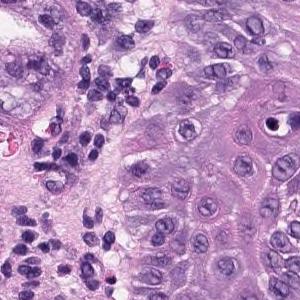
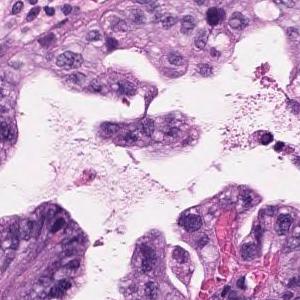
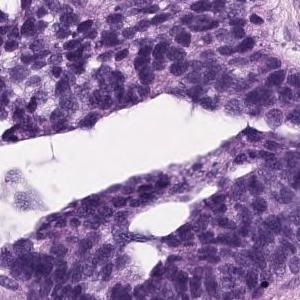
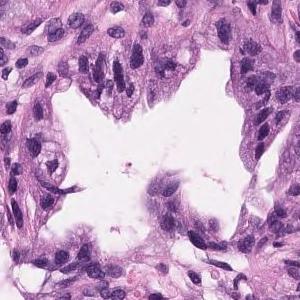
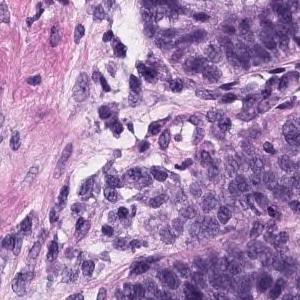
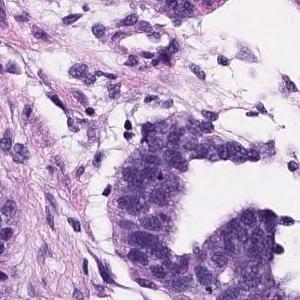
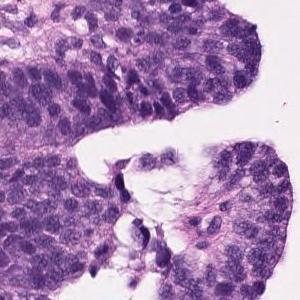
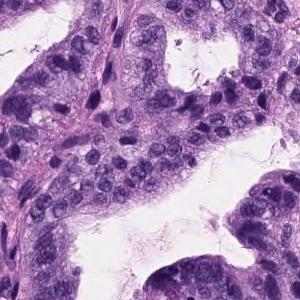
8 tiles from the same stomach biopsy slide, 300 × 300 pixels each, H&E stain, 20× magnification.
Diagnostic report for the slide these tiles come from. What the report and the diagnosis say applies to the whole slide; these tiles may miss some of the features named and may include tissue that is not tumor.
Tumor cells are large, highly columnar, large club-shaped nuclei, and are associated with chromatin aggregation. Papillary adenocarcinoma.
